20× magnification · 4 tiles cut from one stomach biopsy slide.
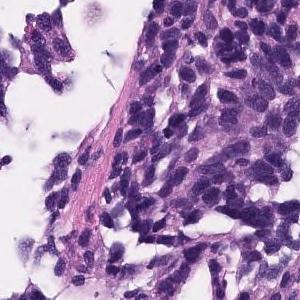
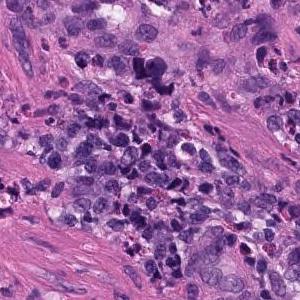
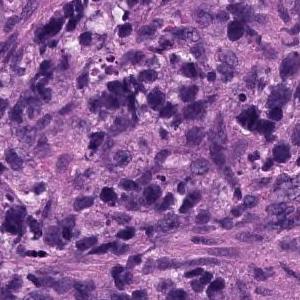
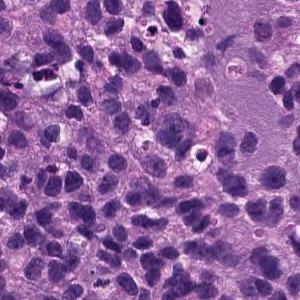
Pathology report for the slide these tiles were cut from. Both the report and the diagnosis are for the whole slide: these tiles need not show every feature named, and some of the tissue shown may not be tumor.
Atypical l cells with atypical nuclei under the mucosa growing in isolation and scattered. Poorly differentiated adenocarcinoma (poorly differentiated adenocarcinoma, non-solid type)
Tumor subtype: poorly differentiated adenocarcinoma, non-solid type.
The term "non-solid type" comes from the Japanese Classification of Gastric Carcinoma.
